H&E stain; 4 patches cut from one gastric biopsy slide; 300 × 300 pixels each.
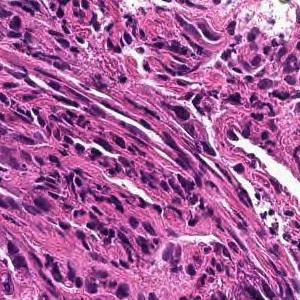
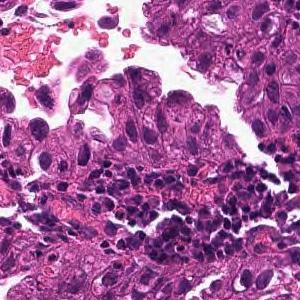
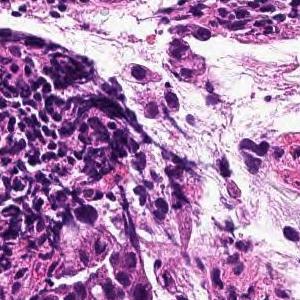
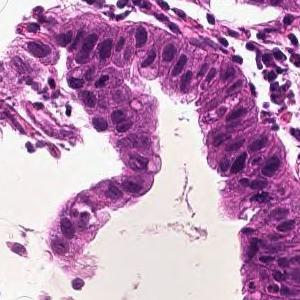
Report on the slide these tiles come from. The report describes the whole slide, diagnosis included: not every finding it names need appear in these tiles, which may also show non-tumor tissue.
From the superficial epithelium to the muscularis mucosae, tumor tissue infiltrating by forming medium-sized irregular gland ducts is observed. Well differentiated tubular adenocarcinoma
